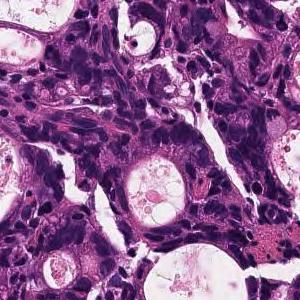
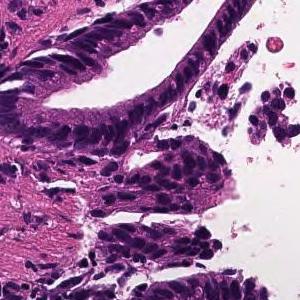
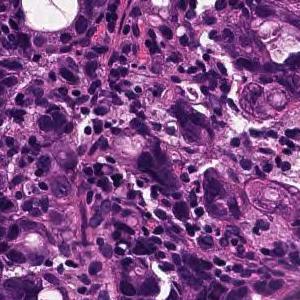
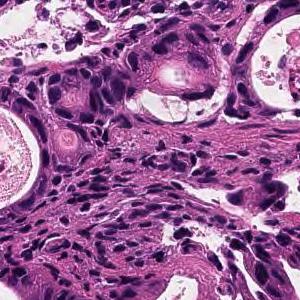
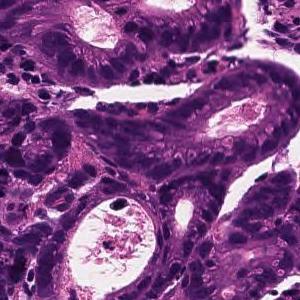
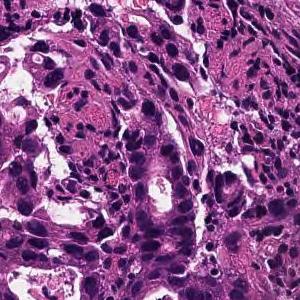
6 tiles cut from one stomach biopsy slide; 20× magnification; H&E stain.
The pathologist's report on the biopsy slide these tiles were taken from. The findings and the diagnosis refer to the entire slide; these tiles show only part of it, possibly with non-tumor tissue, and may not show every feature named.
In the superficial epithelium, tumor tissue that invades by forming medium-sized to small, irregular ducts is observed. moderately differentiated tubular adenocarcinoma.
